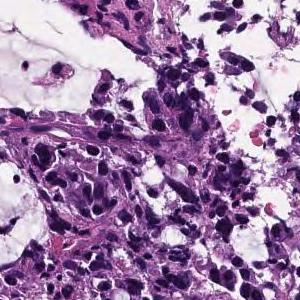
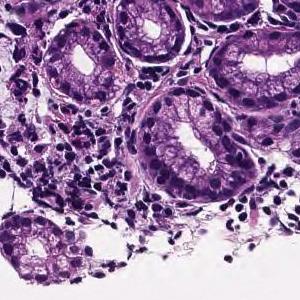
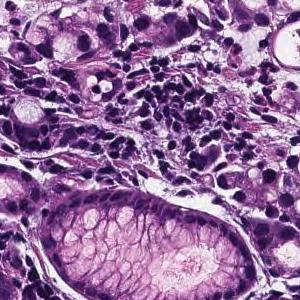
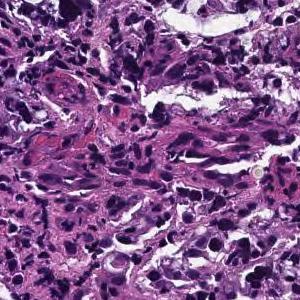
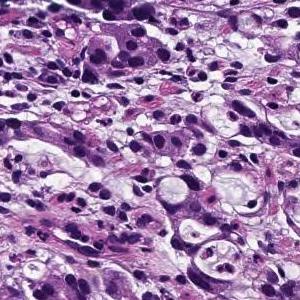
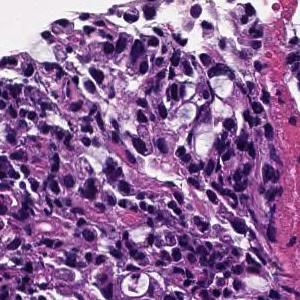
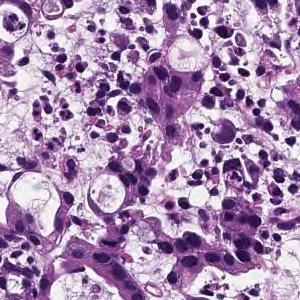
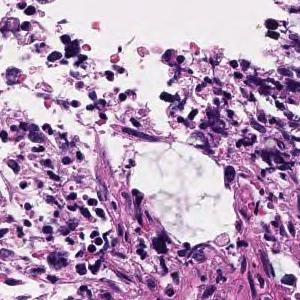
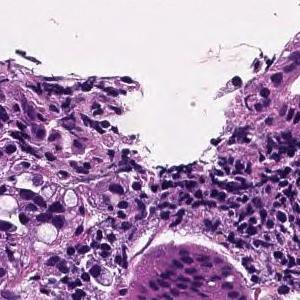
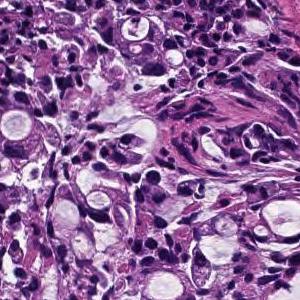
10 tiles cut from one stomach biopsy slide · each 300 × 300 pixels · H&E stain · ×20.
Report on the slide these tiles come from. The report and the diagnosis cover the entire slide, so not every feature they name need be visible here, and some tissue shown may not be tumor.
Tumor tissue consisting of cord-like or small, irregular glandular ducts fused and infiltrated is observed in the superficial epithelium. Poorly differentiated adenocarcinoma, non-solid type
"Non-solid type" is a category of the Japanese Classification of Gastric Carcinoma.
